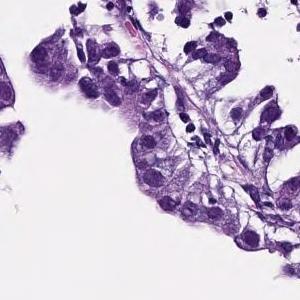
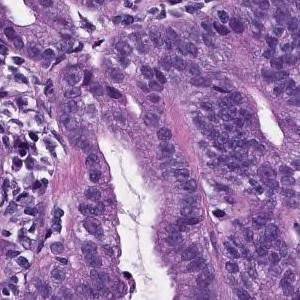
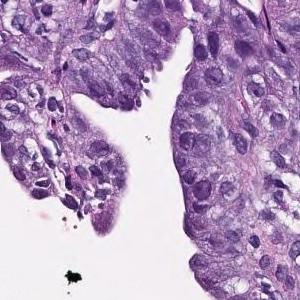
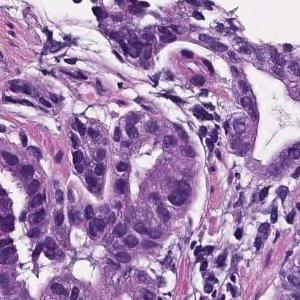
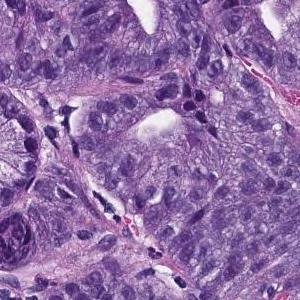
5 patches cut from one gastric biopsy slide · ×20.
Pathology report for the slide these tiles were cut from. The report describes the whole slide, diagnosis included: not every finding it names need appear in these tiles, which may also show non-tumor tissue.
On the superficial epithelium, tumor tissue that infiltrates by forming medium-sized papillary or small irregular ducts is observed. Papillary adenocarcinoma
